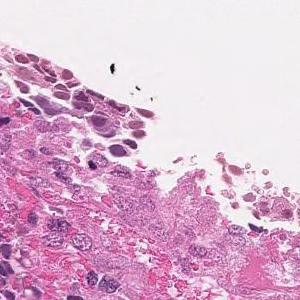
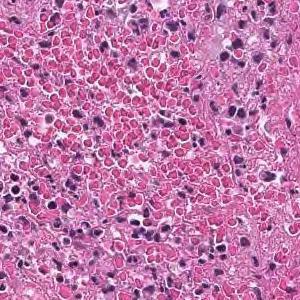
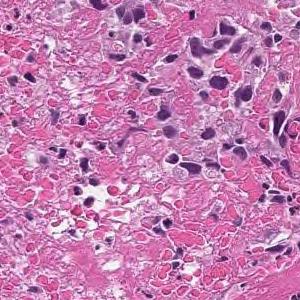
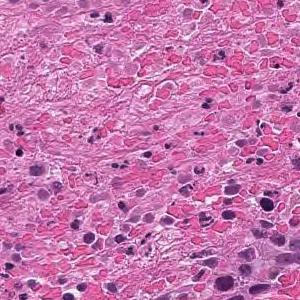
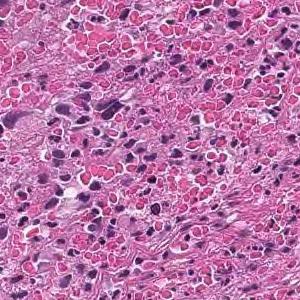
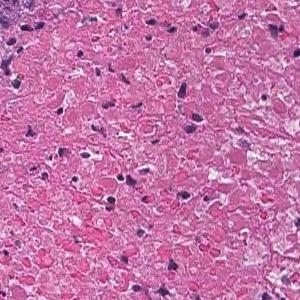
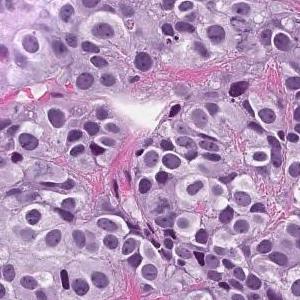
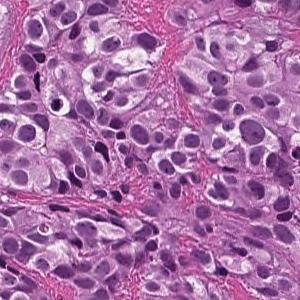
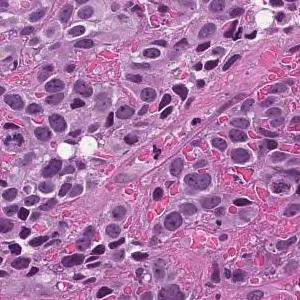
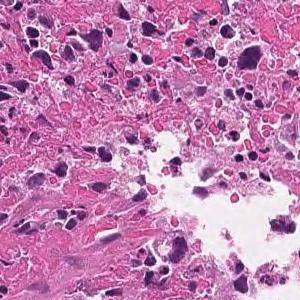
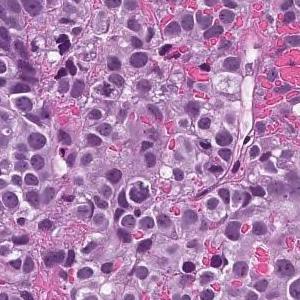
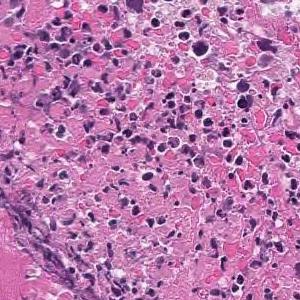
12 patches cut from one gastric biopsy slide, 300 × 300 pixels each, H&E stain, ×20.
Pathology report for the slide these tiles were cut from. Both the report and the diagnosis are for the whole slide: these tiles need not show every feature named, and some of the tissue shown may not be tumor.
The superficial epithelium shows a large sheet-like shape, and some tumor tissue infiltrates with small irregular ducts. Poorly differentiated adenocarcinoma, solid-type
Classified as poorly differentiated adenocarcinoma, solid type (Japanese Classification of Gastric Carcinoma). The WHO 2019 equivalent is tubular adenocarcinoma, poorly differentiated.
